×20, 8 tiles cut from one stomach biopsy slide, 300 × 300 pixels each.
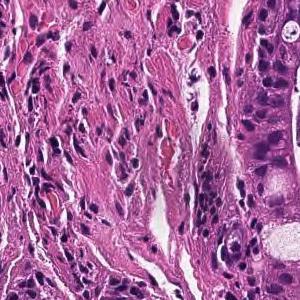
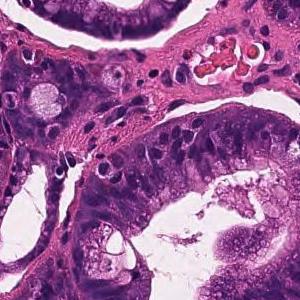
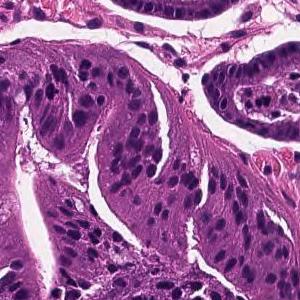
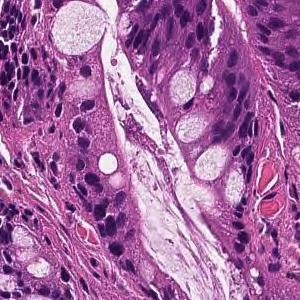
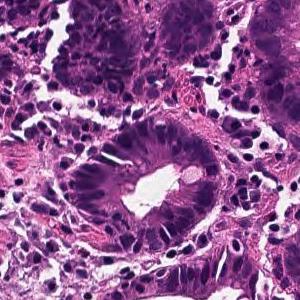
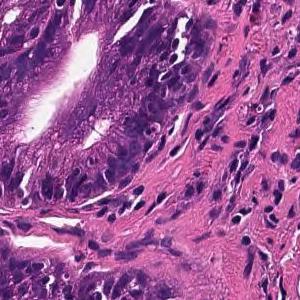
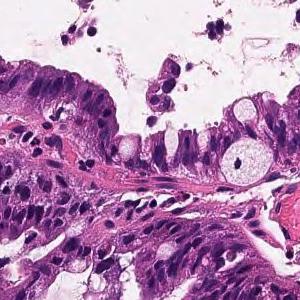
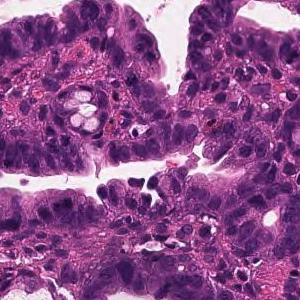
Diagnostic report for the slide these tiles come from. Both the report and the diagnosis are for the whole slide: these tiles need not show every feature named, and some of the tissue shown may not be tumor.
On the superficial epithelium, tumor tissue that infiltrates by forming medium-sized papillary or small irregular ducts is observed. Papillary adenocarcinoma
